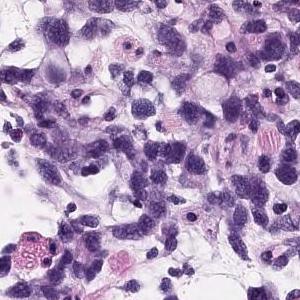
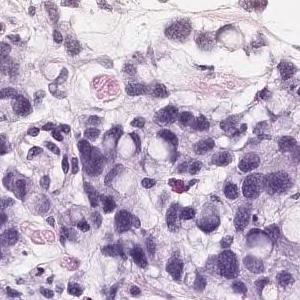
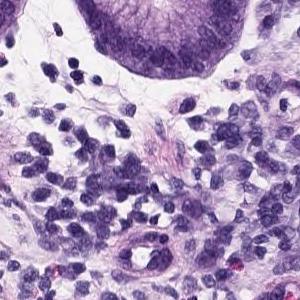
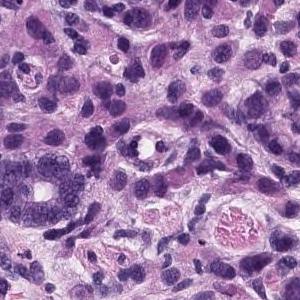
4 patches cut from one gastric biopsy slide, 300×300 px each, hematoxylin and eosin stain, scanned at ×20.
The pathologist's report on the biopsy slide these tiles were taken from. Both the report and the diagnosis are for the whole slide: these tiles need not show every feature named, and some of the tissue shown may not be tumor.
Group 5, Adenocarcinoma. Poorly differentiated adenocarcinoma, non-solid type
The non-solid type named here is a Japanese Classification of Gastric Carcinoma category.
